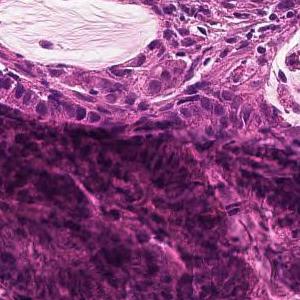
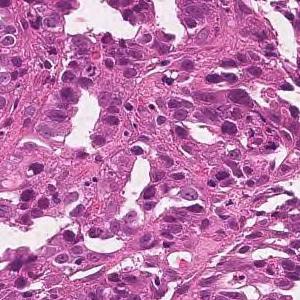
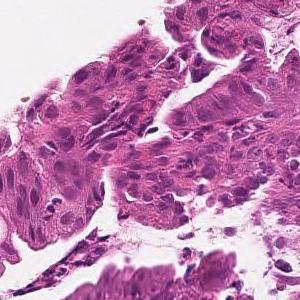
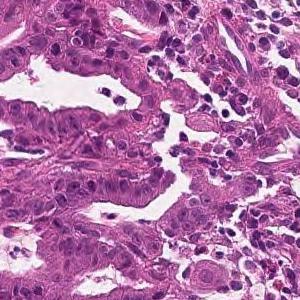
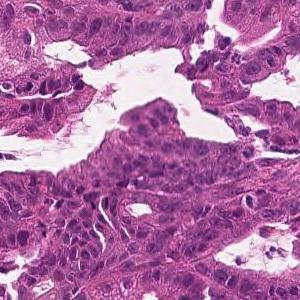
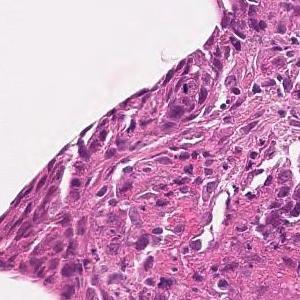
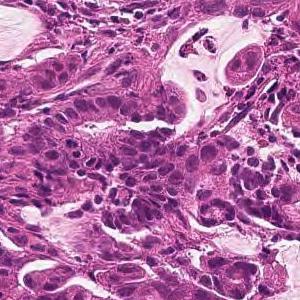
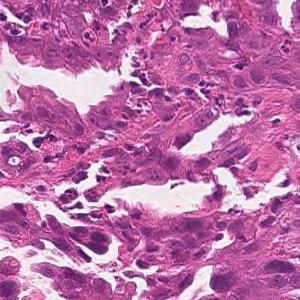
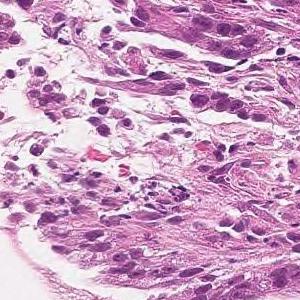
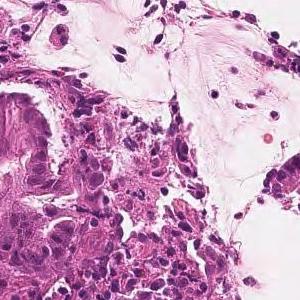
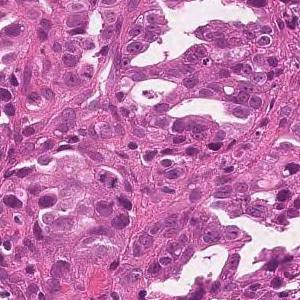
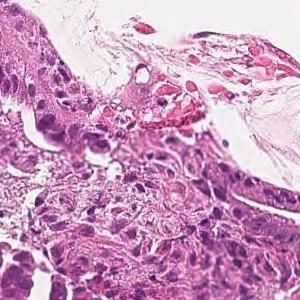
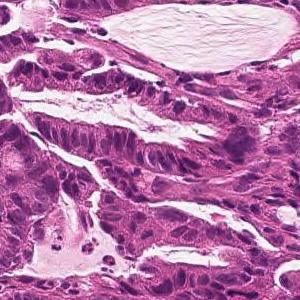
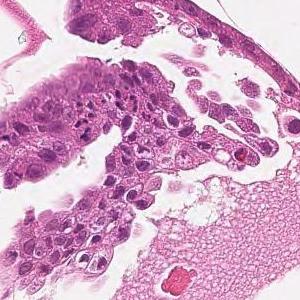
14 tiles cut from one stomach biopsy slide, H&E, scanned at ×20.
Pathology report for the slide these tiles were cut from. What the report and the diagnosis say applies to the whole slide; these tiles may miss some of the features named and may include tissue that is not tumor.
Tumor tissue consisting of large papillary structures is found in the superficial epithelium. Papillary adenocarcinoma.
